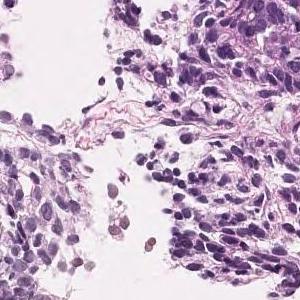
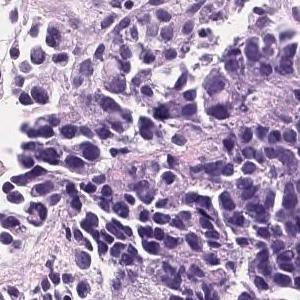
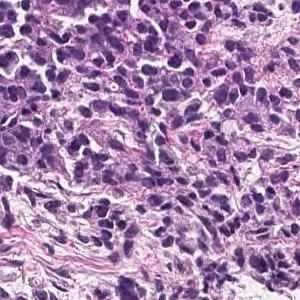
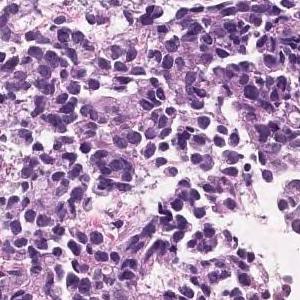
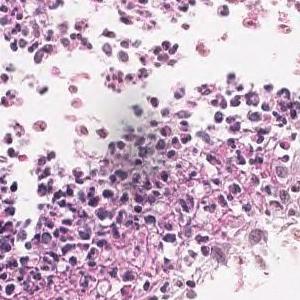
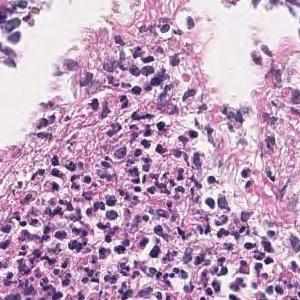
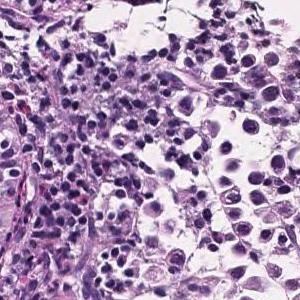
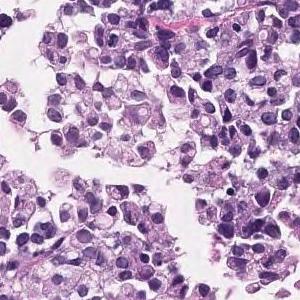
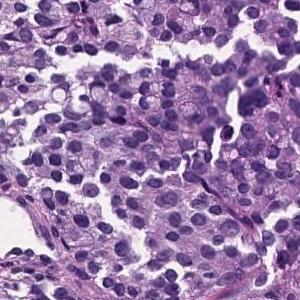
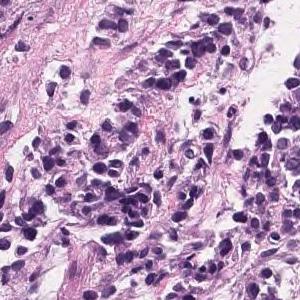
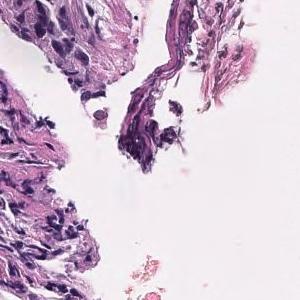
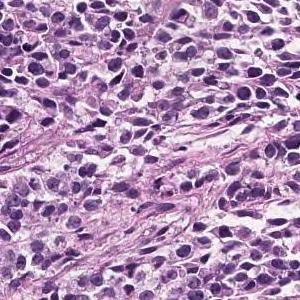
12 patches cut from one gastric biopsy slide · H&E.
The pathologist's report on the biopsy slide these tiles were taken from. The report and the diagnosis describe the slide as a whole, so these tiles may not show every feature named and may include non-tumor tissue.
The superficial epithelium shows a large sheet-like shape, and some tumor tissue infiltrates with small irregular ducts. Poorly differentiated adenocarcinoma, solid-type
Histological subtype: Poorly differentiated adenocarcinoma, solid type. This name comes from the Japanese Classification of Gastric Carcinoma; the WHO 2019 classification calls it tubular adenocarcinoma, poorly differentiated.
